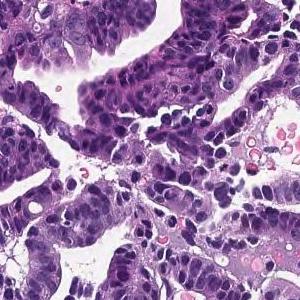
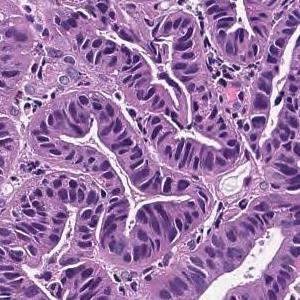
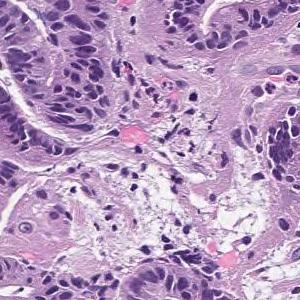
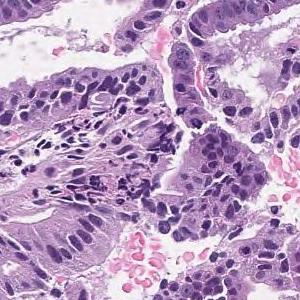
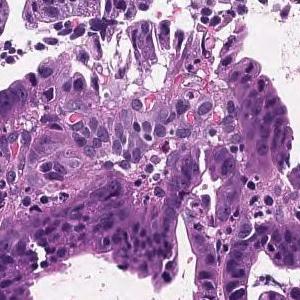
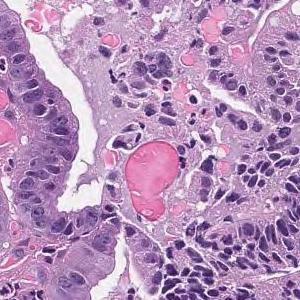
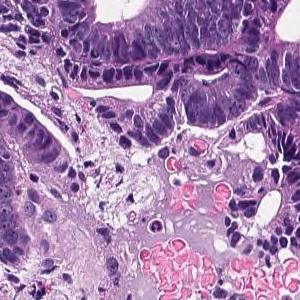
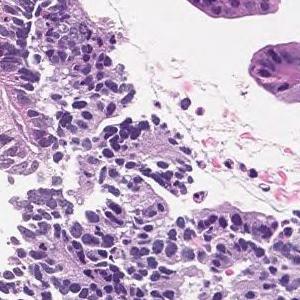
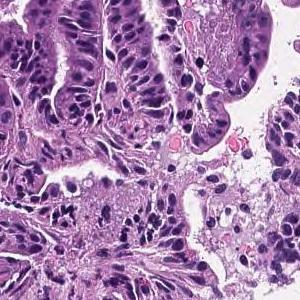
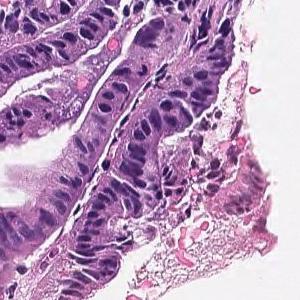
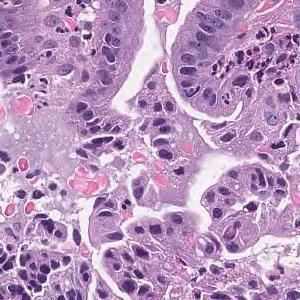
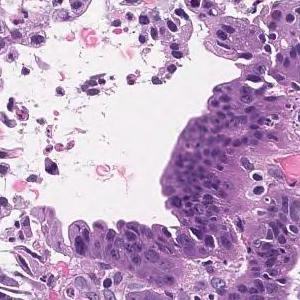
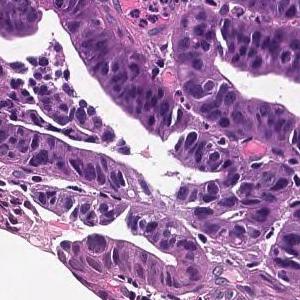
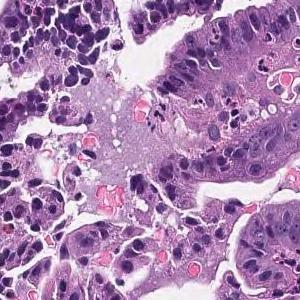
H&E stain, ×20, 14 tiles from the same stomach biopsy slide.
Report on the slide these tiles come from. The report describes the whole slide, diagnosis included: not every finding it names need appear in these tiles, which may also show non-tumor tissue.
Tumor cells are large, highly columnar, large club-shaped nuclei, and are associated with chromatin aggregation. Papillary adenocarcinoma.
